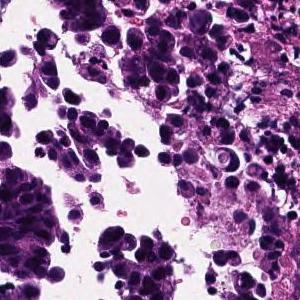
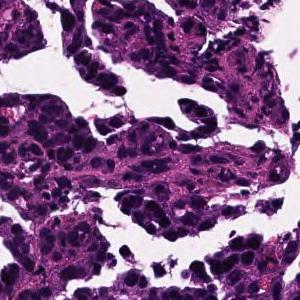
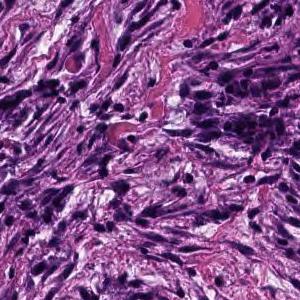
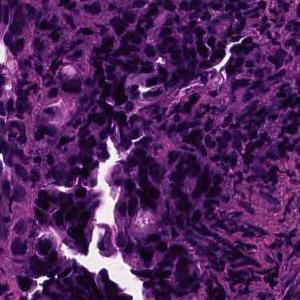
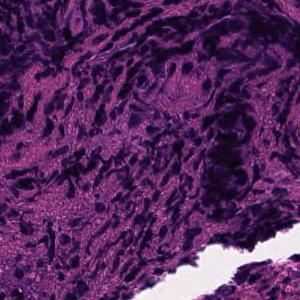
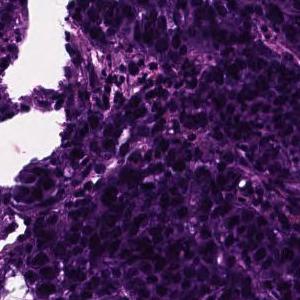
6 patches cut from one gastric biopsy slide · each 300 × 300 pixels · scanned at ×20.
The pathologist's report on the biopsy slide these tiles were taken from. What the report and the diagnosis say applies to the whole slide; these tiles may miss some of the features named and may include tissue that is not tumor.
In the superficial epithelium, tumor tissue that invades by forming medium-sized to small, irregular ducts is observed. moderately differentiated tubular adenocarcinoma.
